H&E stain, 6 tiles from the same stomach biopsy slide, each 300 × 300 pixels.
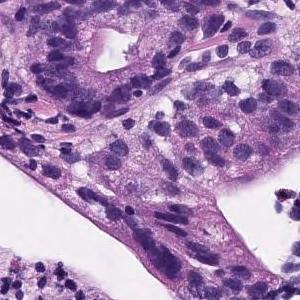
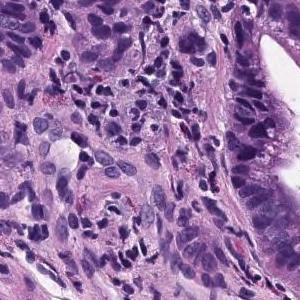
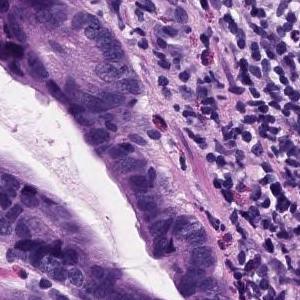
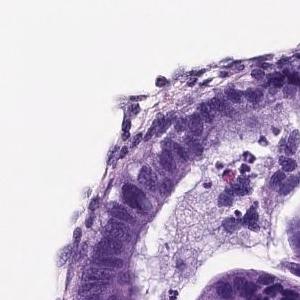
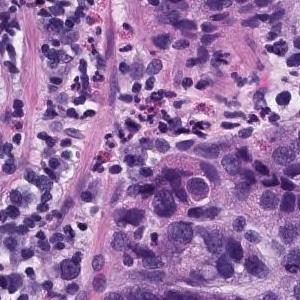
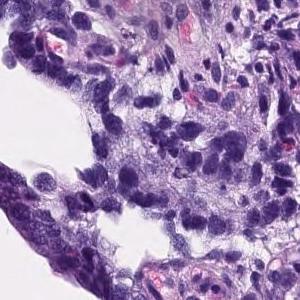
Diagnostic report for the slide these tiles come from. The findings and the diagnosis refer to the entire slide; these tiles show only part of it, possibly with non-tumor tissue, and may not show every feature named.
Tumor tissue consisting of large papillary structures is found in the superficial epithelium. Papillary adenocarcinoma.
